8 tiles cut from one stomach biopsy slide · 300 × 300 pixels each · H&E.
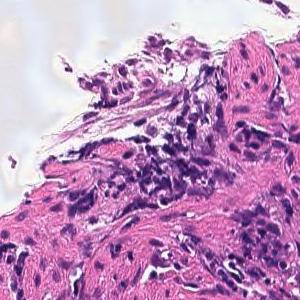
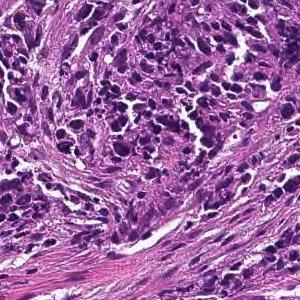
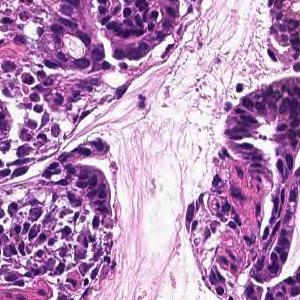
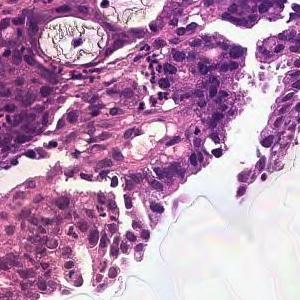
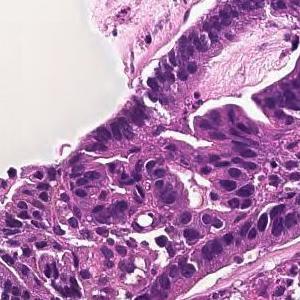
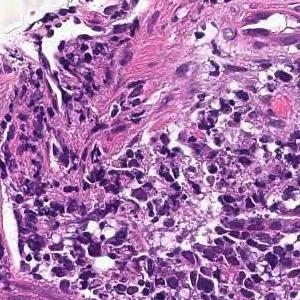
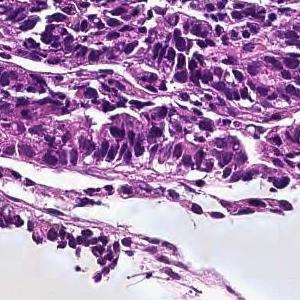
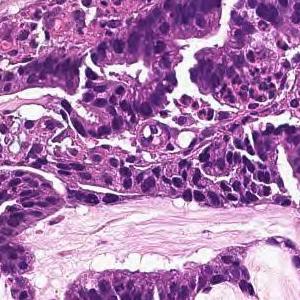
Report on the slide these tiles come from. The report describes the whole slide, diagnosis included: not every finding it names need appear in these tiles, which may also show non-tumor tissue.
In the superficial epithelium, tumor tissue that invades by forming medium-sized to small, irregular ducts is observed. moderately differentiated tubular adenocarcinoma.
